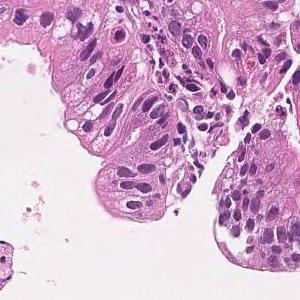
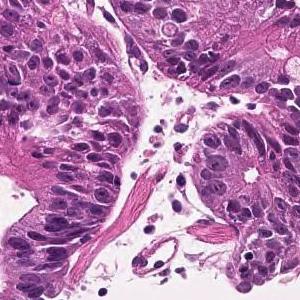
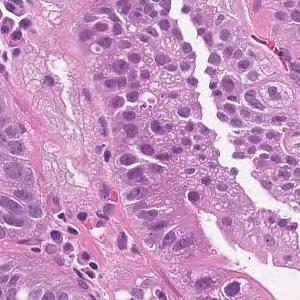
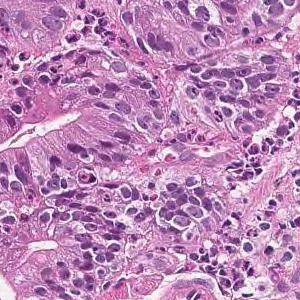
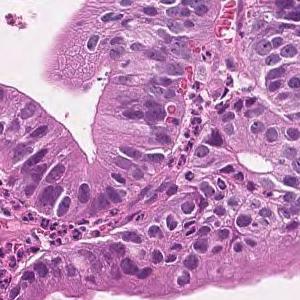
Hematoxylin and eosin stain · 5 patches cut from one gastric biopsy slide · 300 × 300 pixels each.
Pathology report for the biopsy slide these tiles were cut from. What the report and the diagnosis say applies to the whole slide; these tiles may miss some of the features named and may include tissue that is not tumor.
Tumor cells are large, highly columnar, large club-shaped nuclei, and are associated with chromatin aggregation. Papillary adenocarcinoma.
